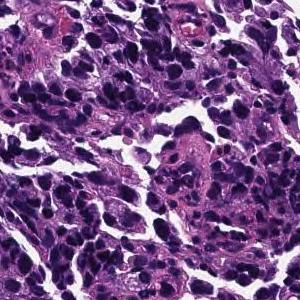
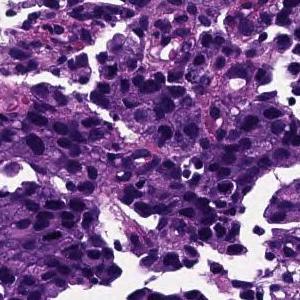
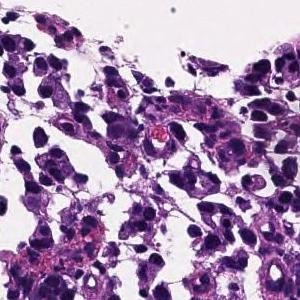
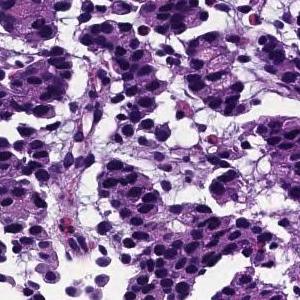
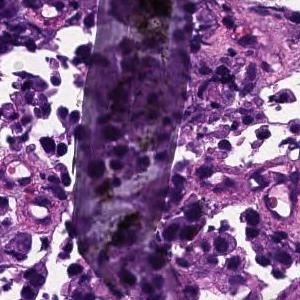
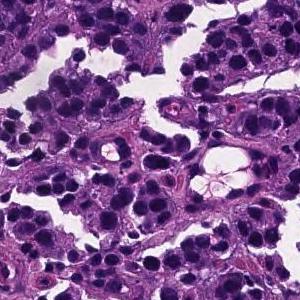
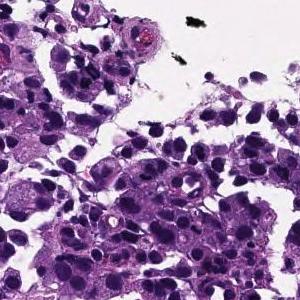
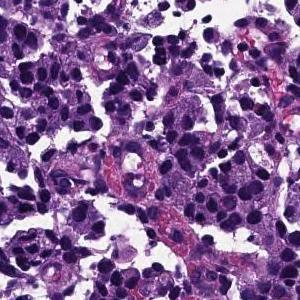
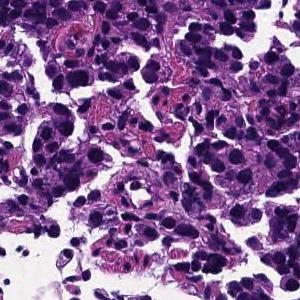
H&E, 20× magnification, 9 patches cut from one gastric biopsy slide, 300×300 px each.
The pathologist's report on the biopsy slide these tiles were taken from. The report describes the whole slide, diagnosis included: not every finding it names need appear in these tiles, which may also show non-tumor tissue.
The superficial epithelium shows a large alveolar shape and infiltrates tumor tissue. Poorly differentiated adenocarcinoma, solid-type
Classified as poorly differentiated adenocarcinoma, solid type. This name comes from the Japanese Classification of Gastric Carcinoma; the WHO 2019 classification calls it tubular adenocarcinoma, poorly differentiated.
